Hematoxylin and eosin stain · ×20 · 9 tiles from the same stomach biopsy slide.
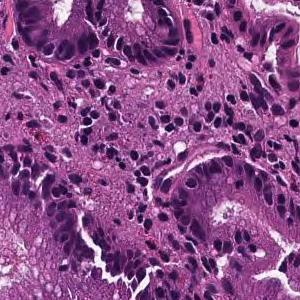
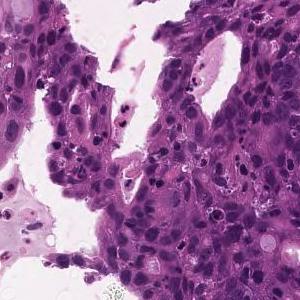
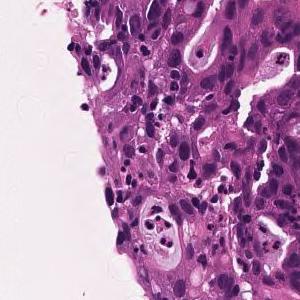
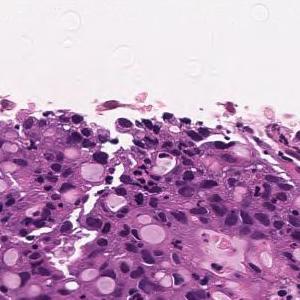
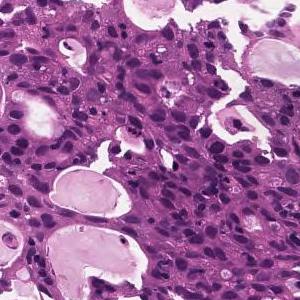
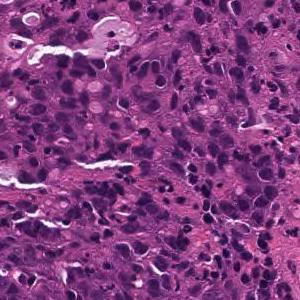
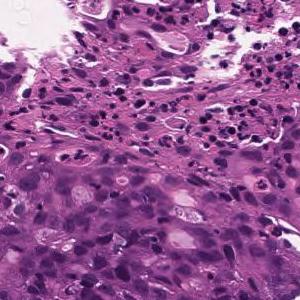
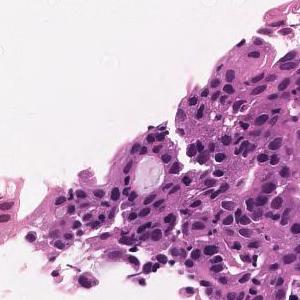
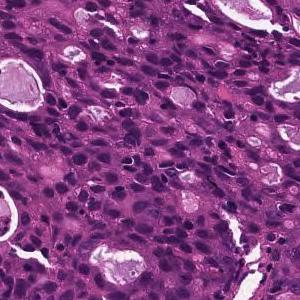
Diagnostic report for the slide these tiles come from. What the report and the diagnosis say applies to the whole slide; these tiles may miss some of the features named and may include tissue that is not tumor.
Cells with atypical nuclei are densely hyperplasia while forming sieve-like ducts of various sizes. moderately differentiated tubular adenocarcinoma
